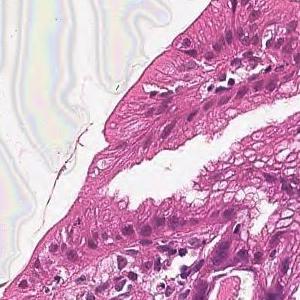
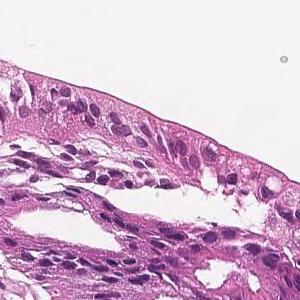
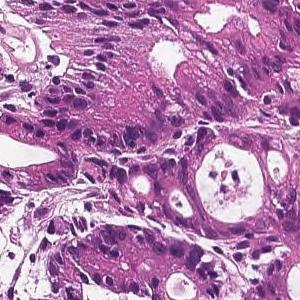
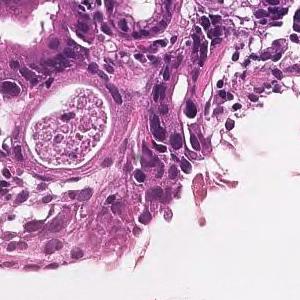
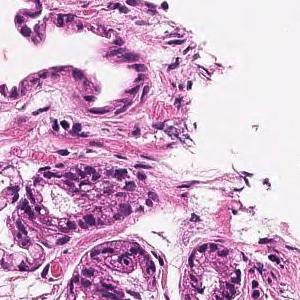
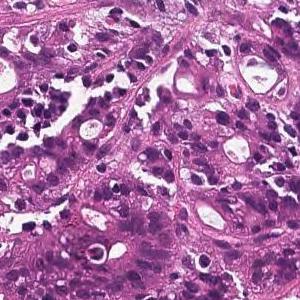
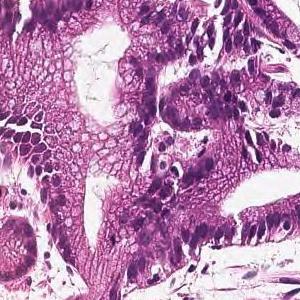
7 tiles cut from one stomach biopsy slide · 300×300 px each.
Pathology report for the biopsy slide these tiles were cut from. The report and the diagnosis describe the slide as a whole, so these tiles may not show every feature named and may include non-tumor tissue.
In the superficial epithelium, tumor tissue that invades by forming medium-sized to small, irregular ducts is observed. moderately differentiated tubular adenocarcinoma.
